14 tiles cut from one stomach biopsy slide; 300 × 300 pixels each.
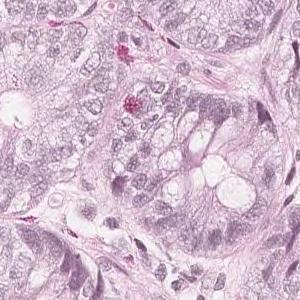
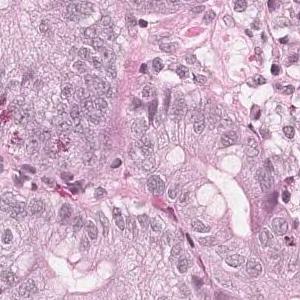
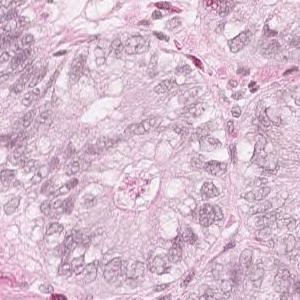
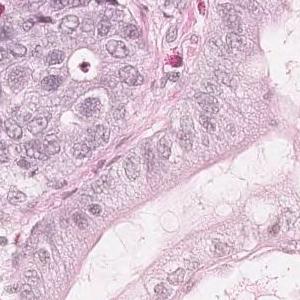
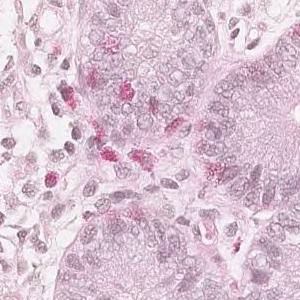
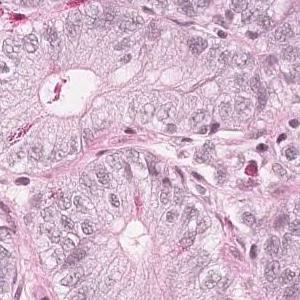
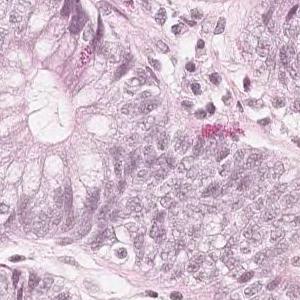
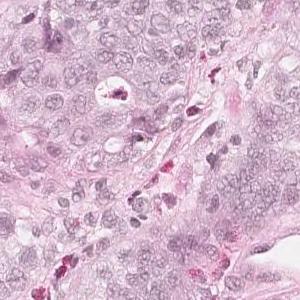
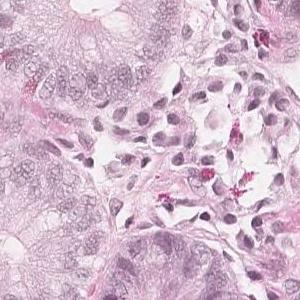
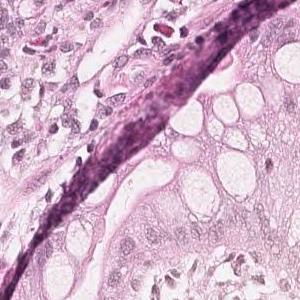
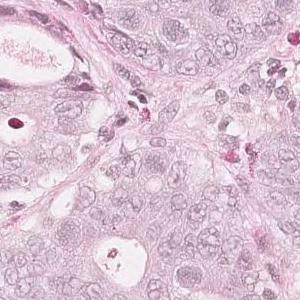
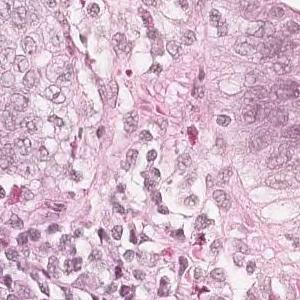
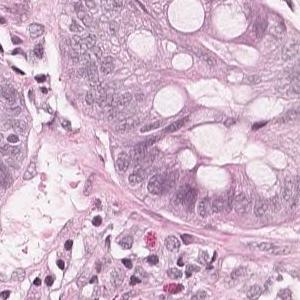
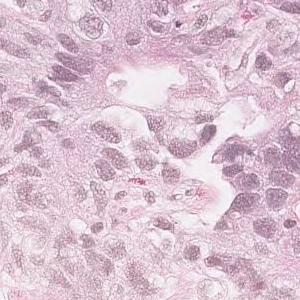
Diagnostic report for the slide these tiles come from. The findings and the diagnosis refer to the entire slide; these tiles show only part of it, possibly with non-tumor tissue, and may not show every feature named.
Medium to small, irregular glandular ducts are formed in the superficial epithelium, and in some cases, the glandular ducts are fused to show solid alveolar lesions and infiltrating tumor tissue is observed. Moderately to poorly differentiated adenocarcinoma.
